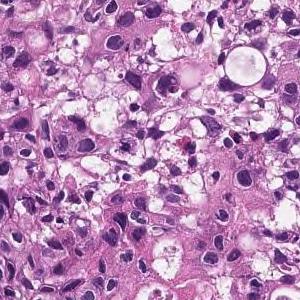
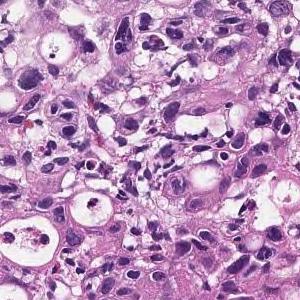
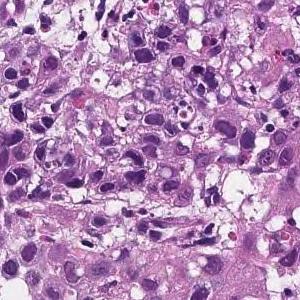
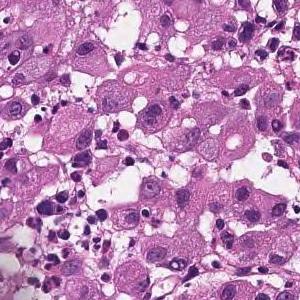
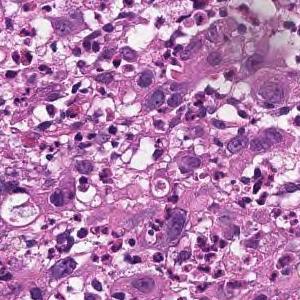
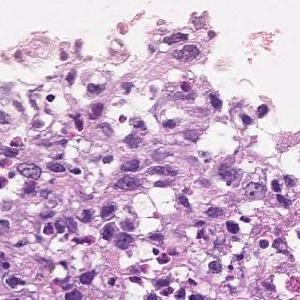
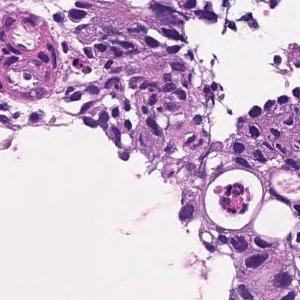
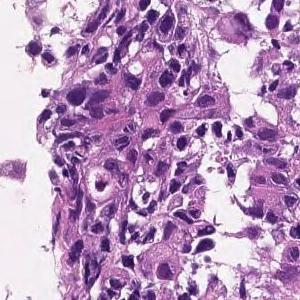
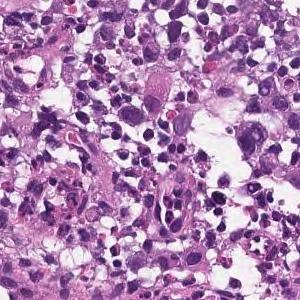
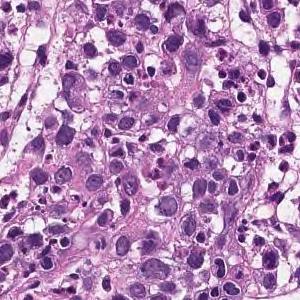
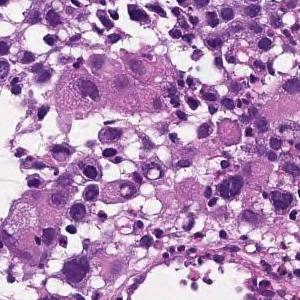
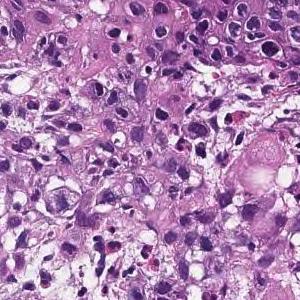
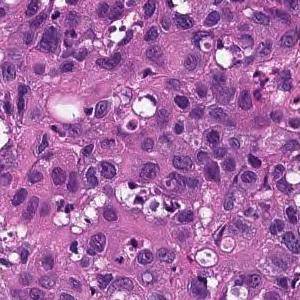
H&E stain; 13 tiles from the same stomach biopsy slide; each 300 × 300 pixels.
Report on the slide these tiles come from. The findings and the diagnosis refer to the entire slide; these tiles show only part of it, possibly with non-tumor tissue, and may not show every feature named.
The superficial epithelium shows a large sheet-like shape, and some tumor tissue infiltrates with small irregular ducts. Poorly differentiated adenocarcinoma, solid-type
Histologic type: Poorly differentiated adenocarcinoma, solid type (Japanese Classification of Gastric Carcinoma). The WHO 2019 equivalent is tubular adenocarcinoma, poorly differentiated.
